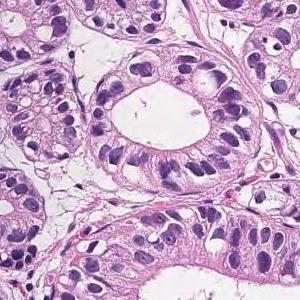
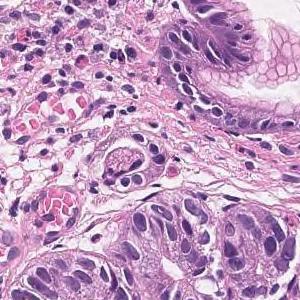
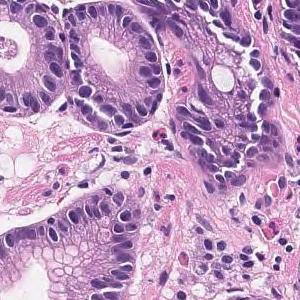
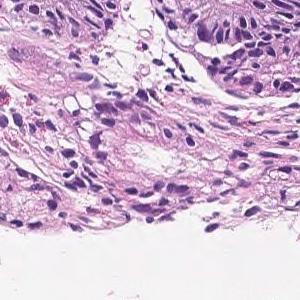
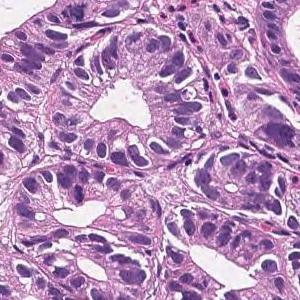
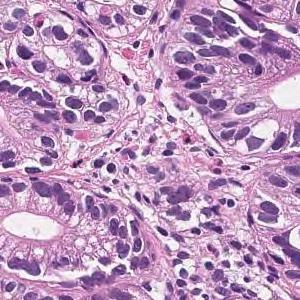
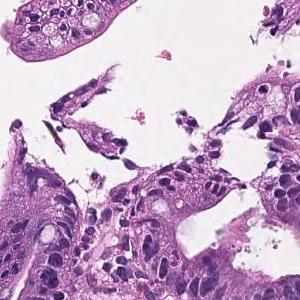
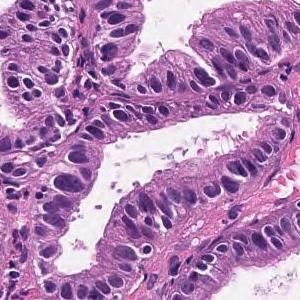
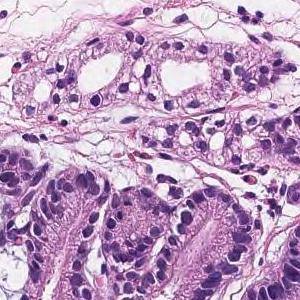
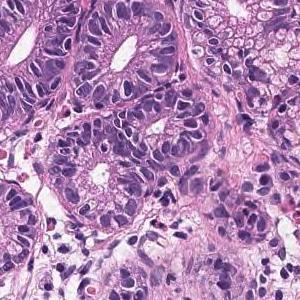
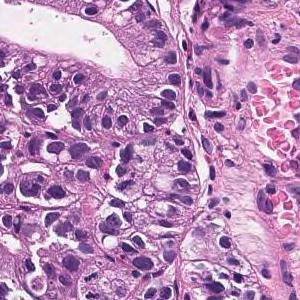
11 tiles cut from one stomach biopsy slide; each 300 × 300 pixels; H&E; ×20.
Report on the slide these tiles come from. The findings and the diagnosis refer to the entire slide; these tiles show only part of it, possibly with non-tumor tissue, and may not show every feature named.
In the superficial epithelium, tumor tissue that invades by forming medium-sized to small, irregular ducts is observed. Well differentiated tubular adenocarcinoma.
